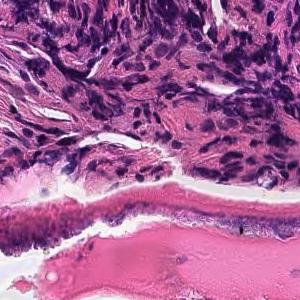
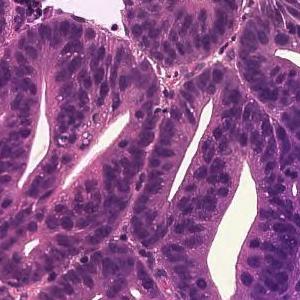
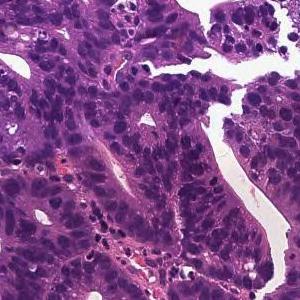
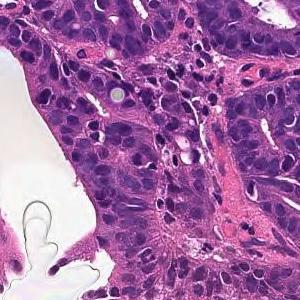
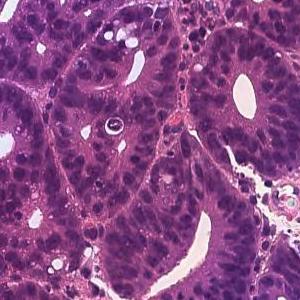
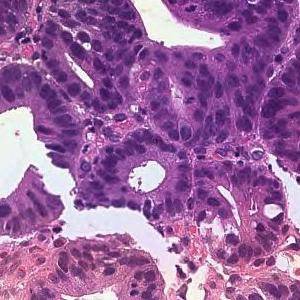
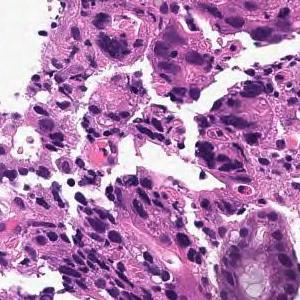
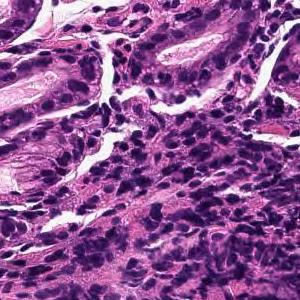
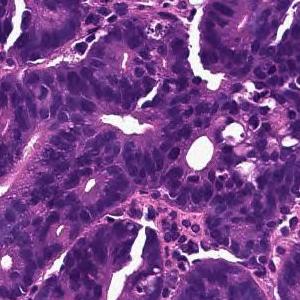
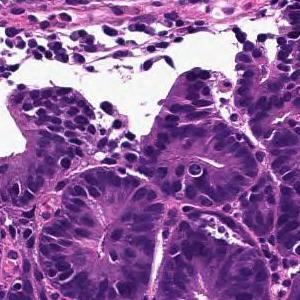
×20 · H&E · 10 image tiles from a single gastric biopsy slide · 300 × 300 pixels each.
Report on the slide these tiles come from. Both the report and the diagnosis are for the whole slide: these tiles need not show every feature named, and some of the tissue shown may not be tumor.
On the superficial epithelium, tumor tissue consisting of large irregular glandular ducts partially fused and infiltrated is observed. Well to moderately differentiated tubular adenocarcinoma (well differentiated tubular adenocarcinoma, moderately differentiated tubular adenocarcinoma)
Tumor subtype: well to moderately differentiated tubular adenocarcinoma.
